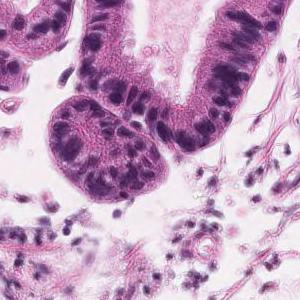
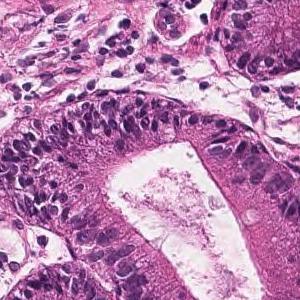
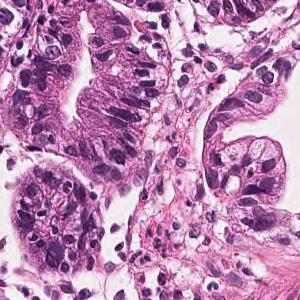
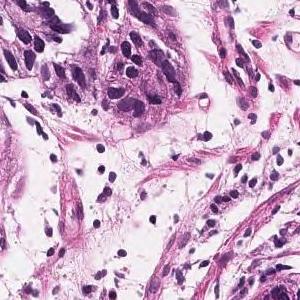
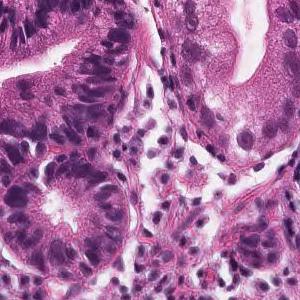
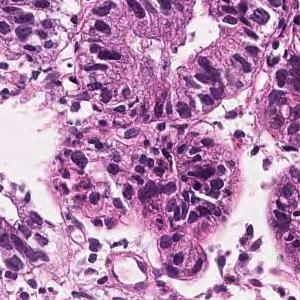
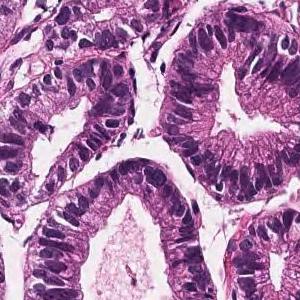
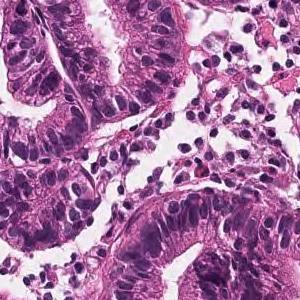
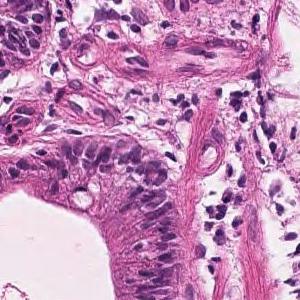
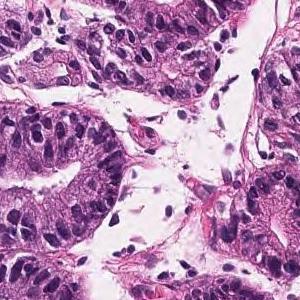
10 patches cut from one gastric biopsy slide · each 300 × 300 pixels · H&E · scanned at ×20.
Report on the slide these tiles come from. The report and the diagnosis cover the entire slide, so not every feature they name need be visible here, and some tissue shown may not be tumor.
On the superficial epithelium, tumor tissue that infiltrates by forming medium-sized papillary or small irregular ducts is observed. Papillary adenocarcinoma
